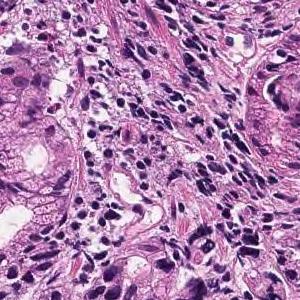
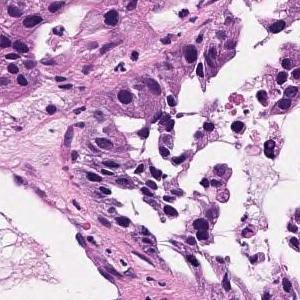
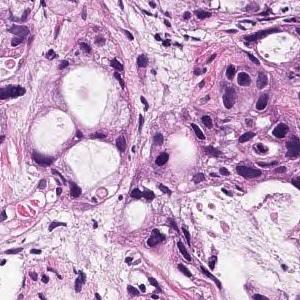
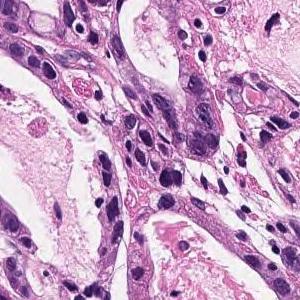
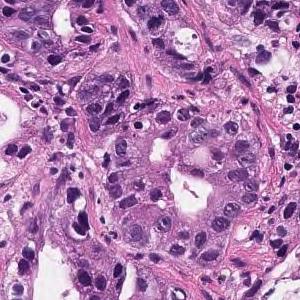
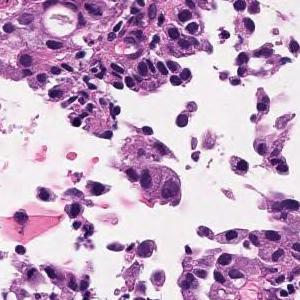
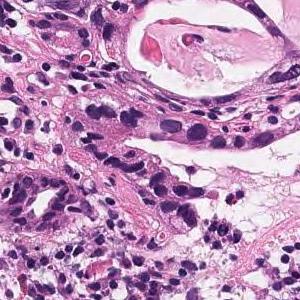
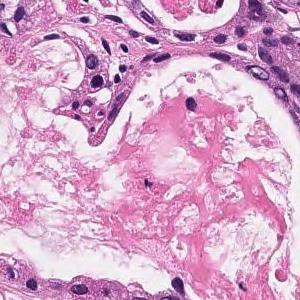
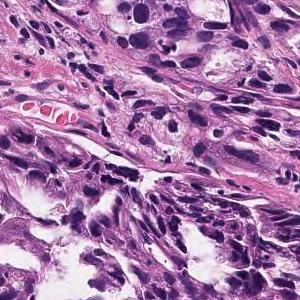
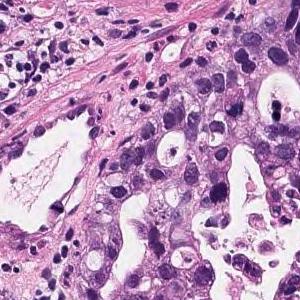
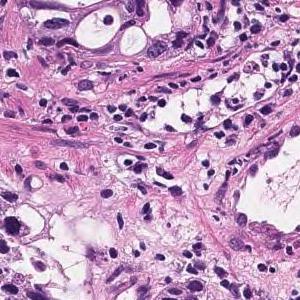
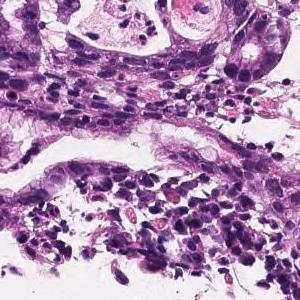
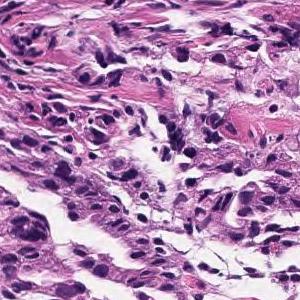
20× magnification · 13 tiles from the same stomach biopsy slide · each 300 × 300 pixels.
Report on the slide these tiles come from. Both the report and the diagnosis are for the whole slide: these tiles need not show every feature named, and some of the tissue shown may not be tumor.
In the superficial epithelium, tumor tissue that invades by forming medium-sized to small, irregular ducts is observed. Moderately differentiated adenocarcinoma.
Histological subtype: Moderately differentiated tubular adenocarcinoma.
